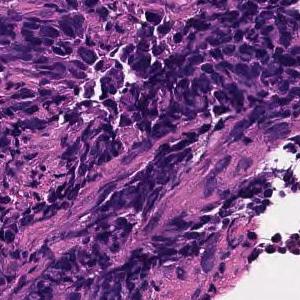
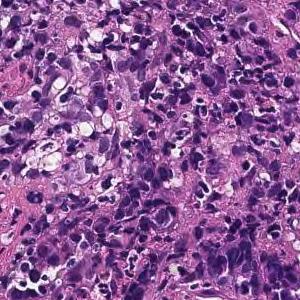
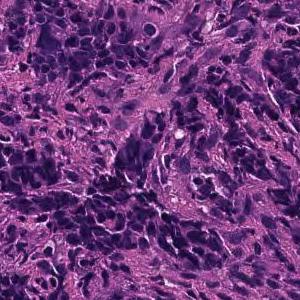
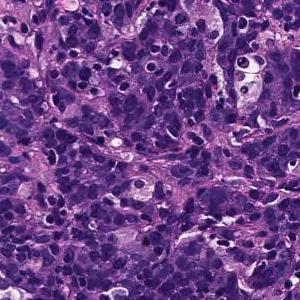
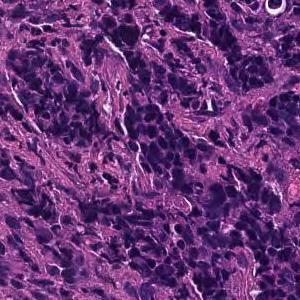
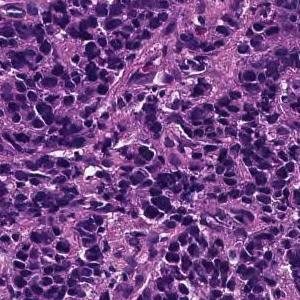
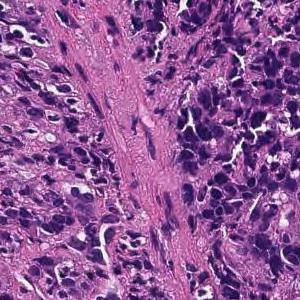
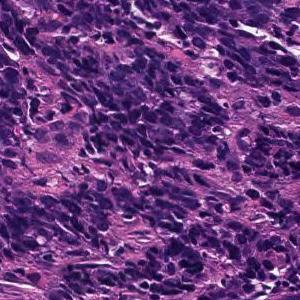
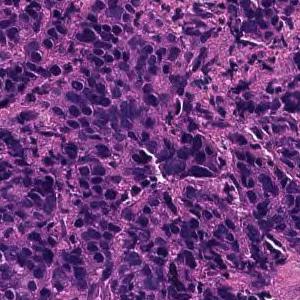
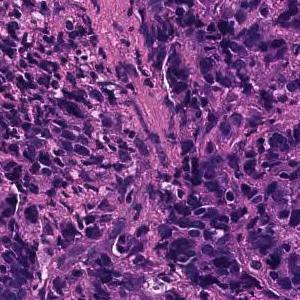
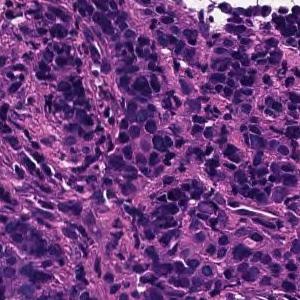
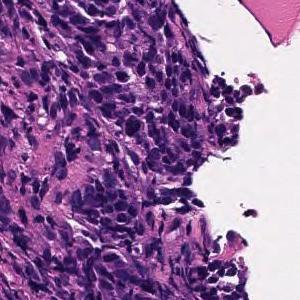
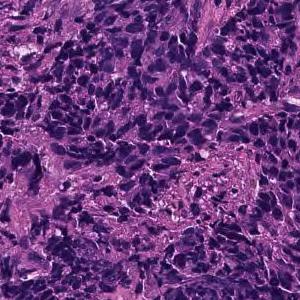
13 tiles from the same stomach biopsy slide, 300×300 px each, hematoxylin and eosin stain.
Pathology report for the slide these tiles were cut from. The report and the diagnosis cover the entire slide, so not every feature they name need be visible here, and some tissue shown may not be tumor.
Tumor tissue consisting of cord-like or small, irregular glandular ducts fused and infiltrated is observed in the superficial epithelium. Poorly differentiated adenocarcinoma, non-solid type
"Non-solid type" is a category of the Japanese Classification of Gastric Carcinoma.
